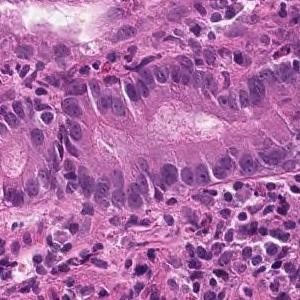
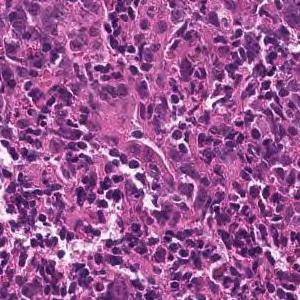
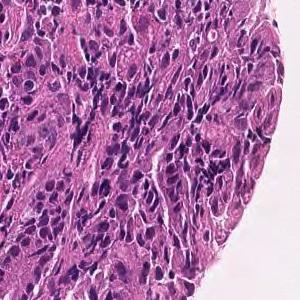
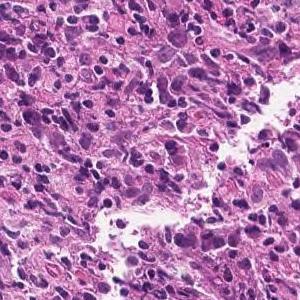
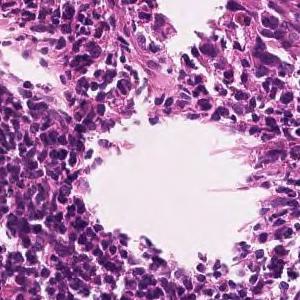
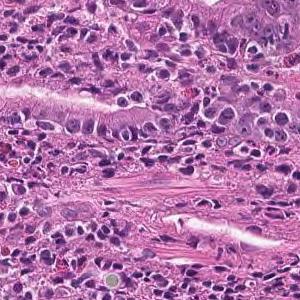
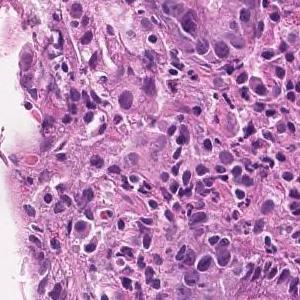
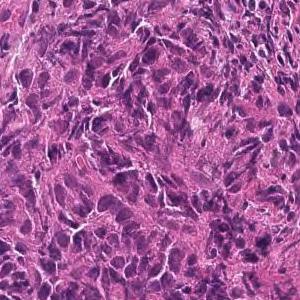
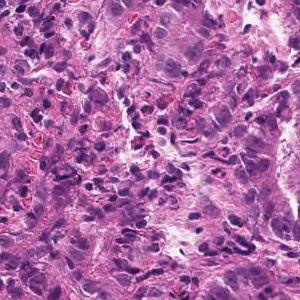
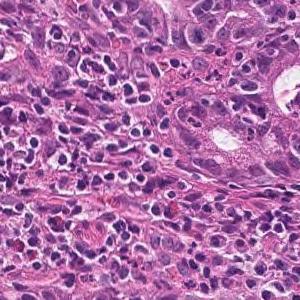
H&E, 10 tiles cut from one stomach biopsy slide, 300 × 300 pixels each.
Pathology report for the slide these tiles were cut from. The findings and the diagnosis refer to the entire slide; these tiles show only part of it, possibly with non-tumor tissue, and may not show every feature named.
Tumor tissue consisting of medium-sized, cord-like or irregular glandular infiltration is observed in the superficial epithelium. Poorly differentiated adenocarcinoma, non-solid type or moderately differentiated tubular adenocarcinoma
Dataset label: poorly differentiated adenocarcinoma, non-solid type.
The term "non-solid type" comes from the Japanese Classification of Gastric Carcinoma.
